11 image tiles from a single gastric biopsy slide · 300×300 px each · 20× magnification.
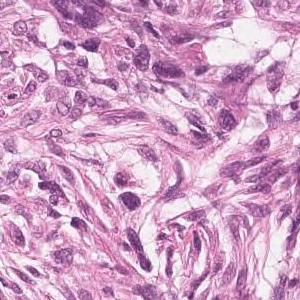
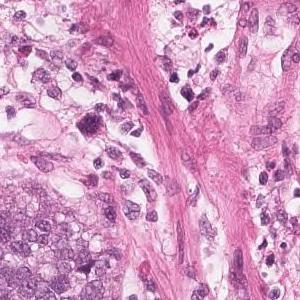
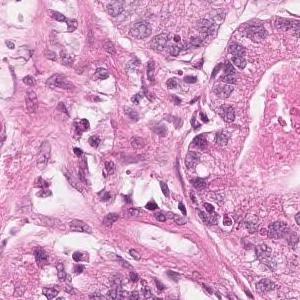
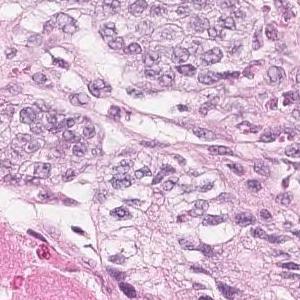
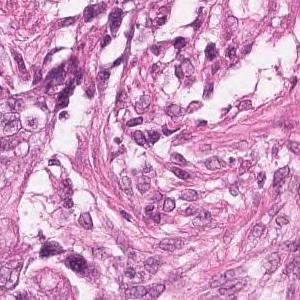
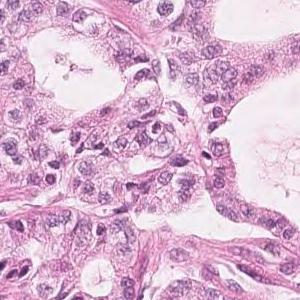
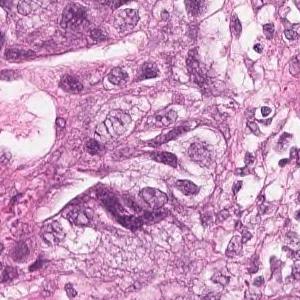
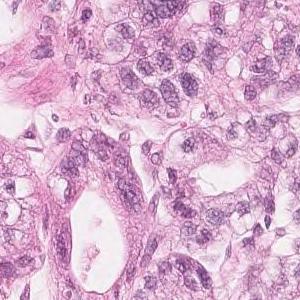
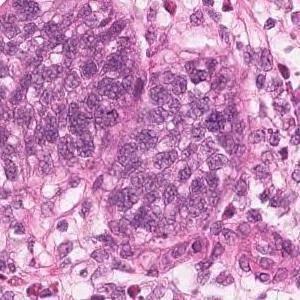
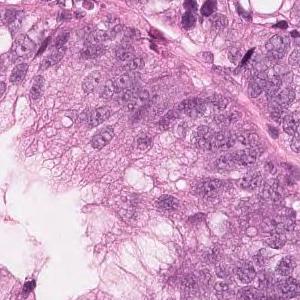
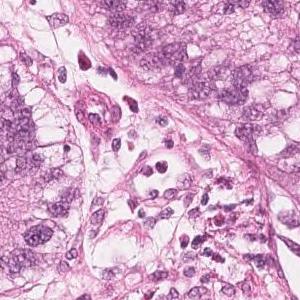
Diagnostic report for the slide these tiles come from. What the report and the diagnosis say applies to the whole slide; these tiles may miss some of the features named and may include tissue that is not tumor.
Highly columnar epithelium with disordered nuclear localization proliferates showing fusion ductal construction. moderately differentiated tubular adenocarcinoma
